Hematoxylin and eosin stain; scanned at ×20; 11 patches cut from one gastric biopsy slide; 300×300 px each.
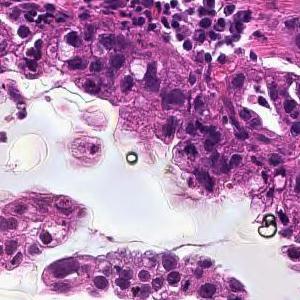
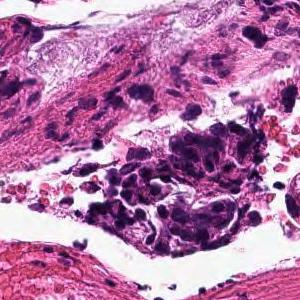
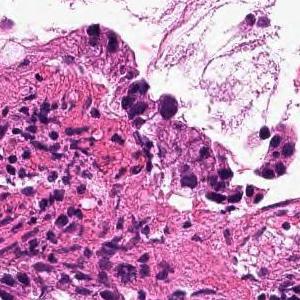
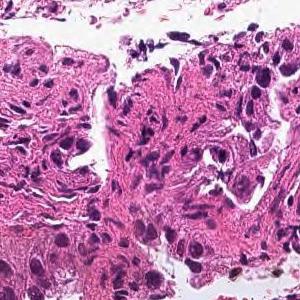
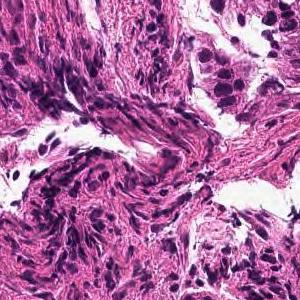
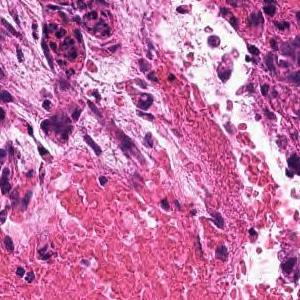
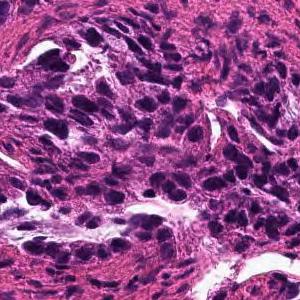
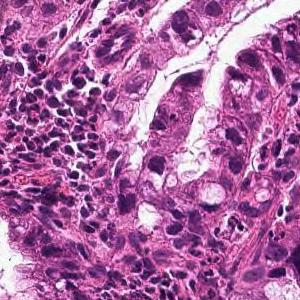
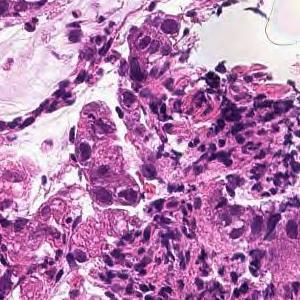
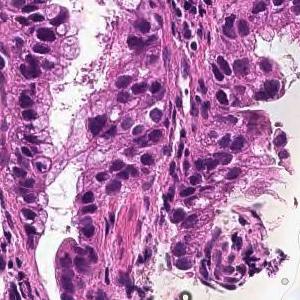
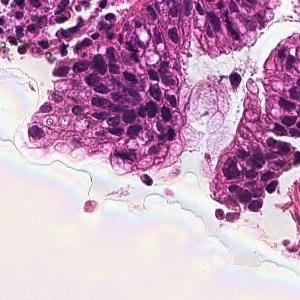
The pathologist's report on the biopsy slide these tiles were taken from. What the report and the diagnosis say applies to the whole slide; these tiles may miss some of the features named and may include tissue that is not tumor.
From the superficial epithelium to the muscularis mucosae, tumor tissue infiltrating by forming medium-sized irregular gland ducts is observed. Well differentiated tubular adenocarcinoma
